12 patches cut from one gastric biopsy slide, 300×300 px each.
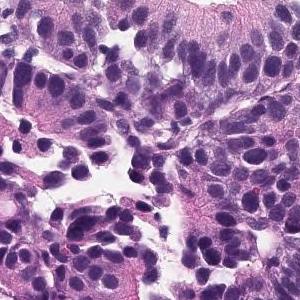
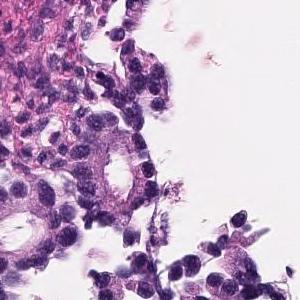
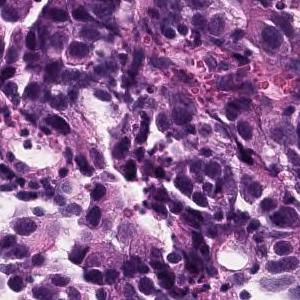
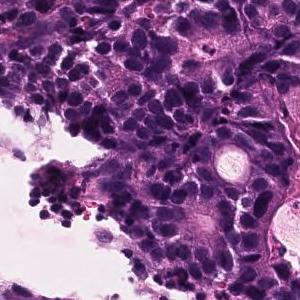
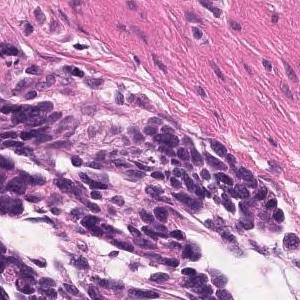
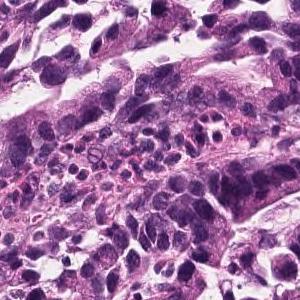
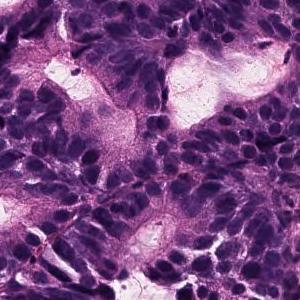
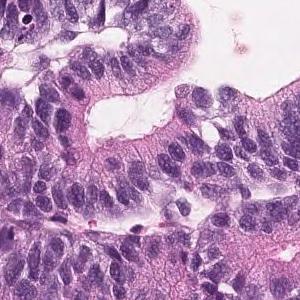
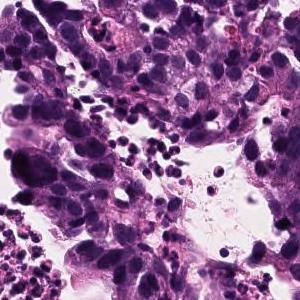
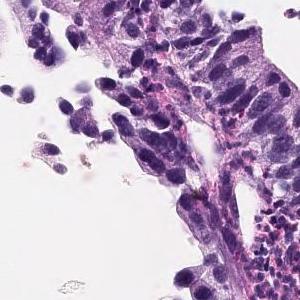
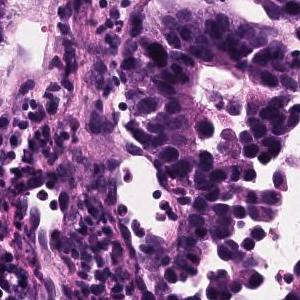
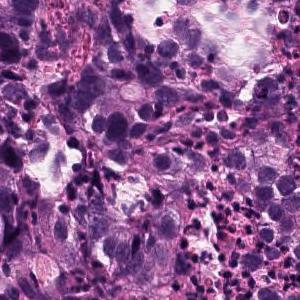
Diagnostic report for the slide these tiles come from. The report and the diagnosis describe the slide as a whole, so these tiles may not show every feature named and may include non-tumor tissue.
In the superficial epithelium, tumor tissue that invades by forming medium-sized to small, irregular ducts is observed. moderately differentiated tubular adenocarcinoma.
